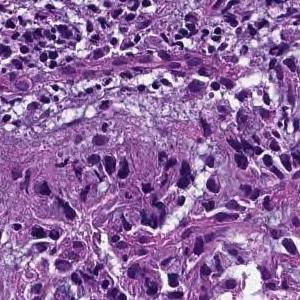
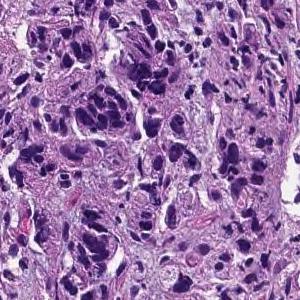
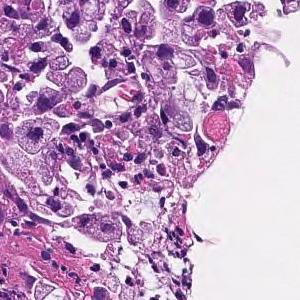
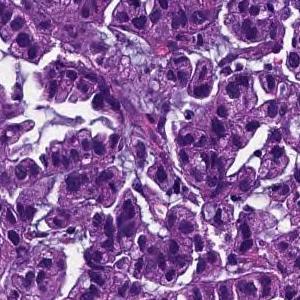
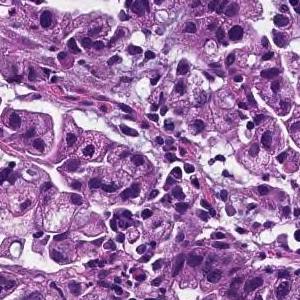
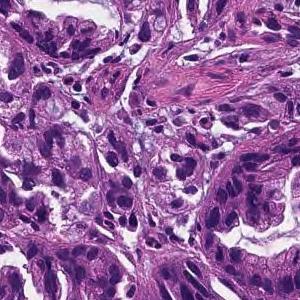
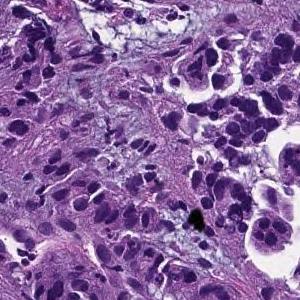
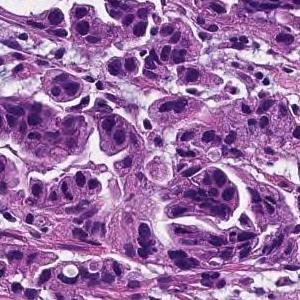
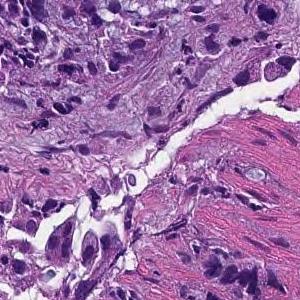
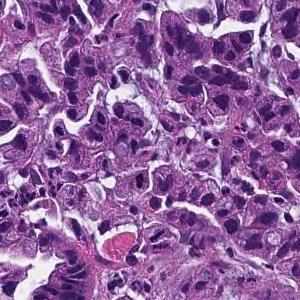
10 patches cut from one gastric biopsy slide, 300 × 300 pixels each, scanned at ×20.
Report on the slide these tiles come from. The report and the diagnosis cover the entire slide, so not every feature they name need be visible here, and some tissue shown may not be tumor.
Tumor tissue consisting of medium-sized, cord-like or irregular glandular infiltration is observed in the superficial epithelium. Poorly differentiated adenocarcinoma, non-solid type or moderately differentiated tubular adenocarcinoma
Histological subtype: Moderately to poorly differentiated adenocarcinoma.
The non-solid type named here is a Japanese Classification of Gastric Carcinoma category.
